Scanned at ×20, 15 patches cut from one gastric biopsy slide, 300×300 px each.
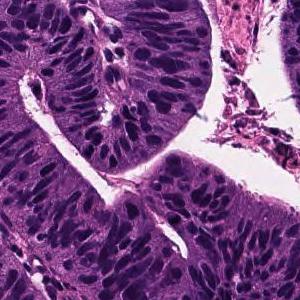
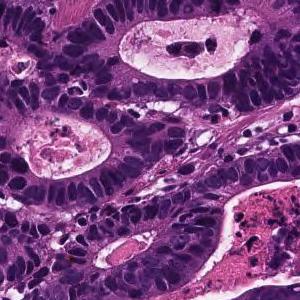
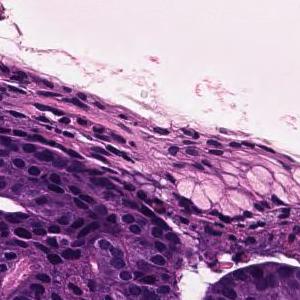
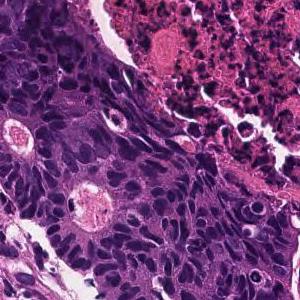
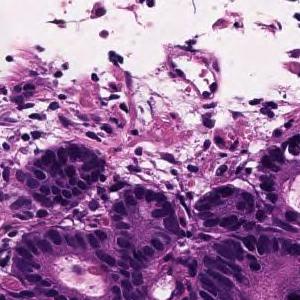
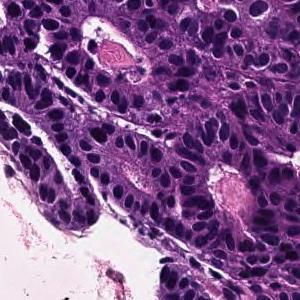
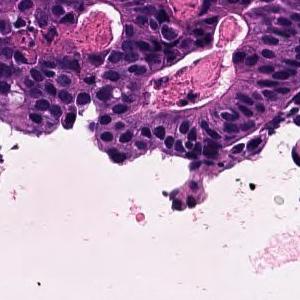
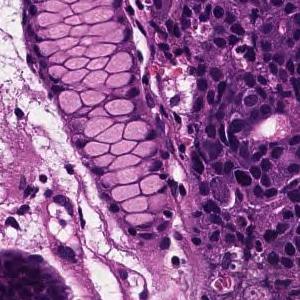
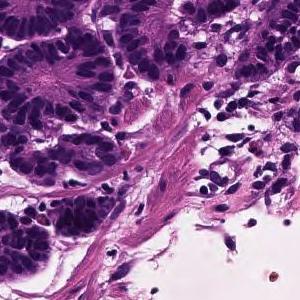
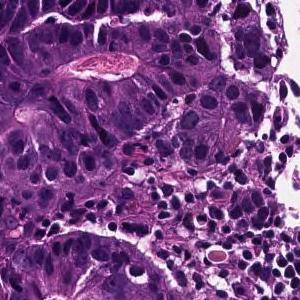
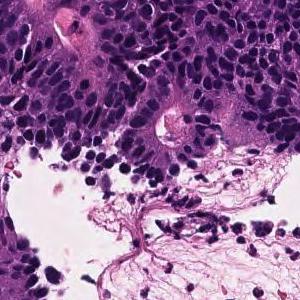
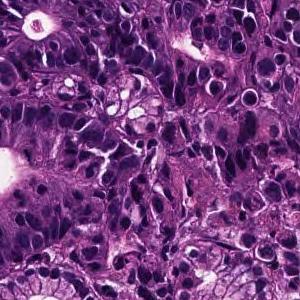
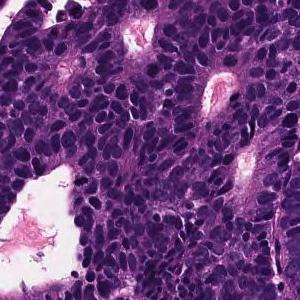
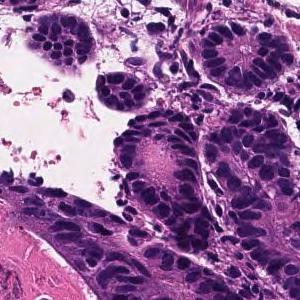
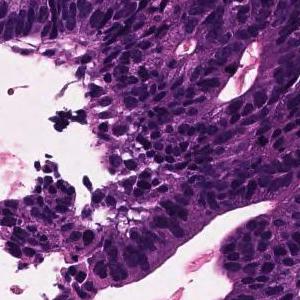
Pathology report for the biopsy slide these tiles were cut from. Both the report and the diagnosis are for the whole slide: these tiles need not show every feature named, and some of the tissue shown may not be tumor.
In the superficial epithelium, tumor tissue that invades by forming medium-sized to small, irregular ducts is observed. moderately differentiated tubular adenocarcinoma.
